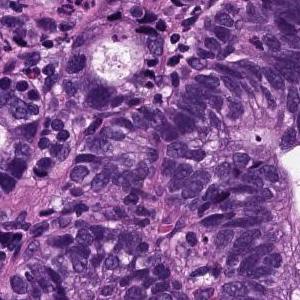
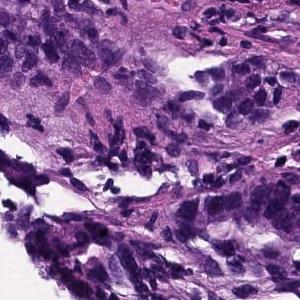
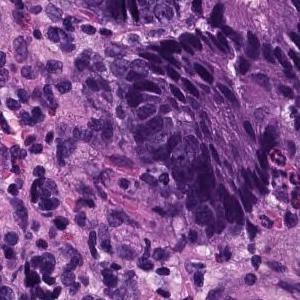
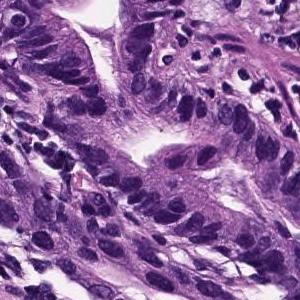
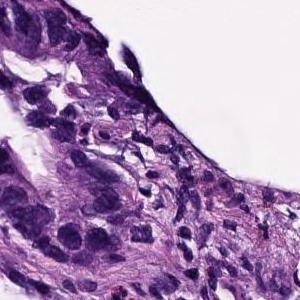
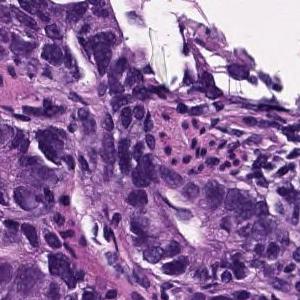
H&E · 6 patches cut from one gastric biopsy slide · each 300 × 300 pixels.
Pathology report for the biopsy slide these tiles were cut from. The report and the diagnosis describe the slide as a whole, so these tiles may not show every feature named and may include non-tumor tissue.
In the superficial epithelium, tumor tissue that invades by forming medium-sized to small, irregular ducts is observed. Moderately differentiated adenocarcinoma.
Histological subtype: Moderately differentiated tubular adenocarcinoma.
